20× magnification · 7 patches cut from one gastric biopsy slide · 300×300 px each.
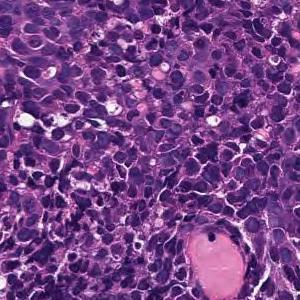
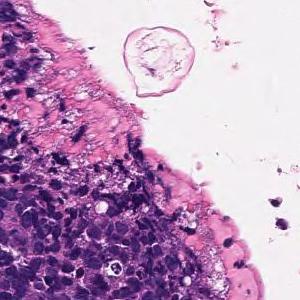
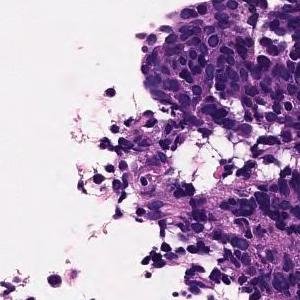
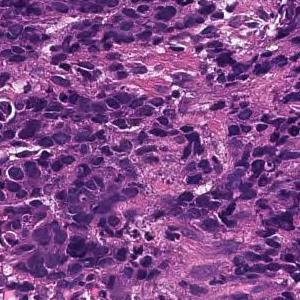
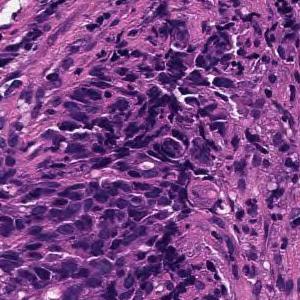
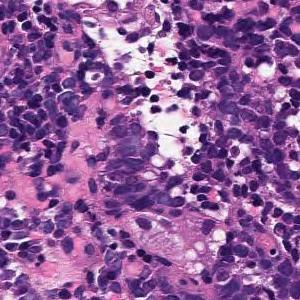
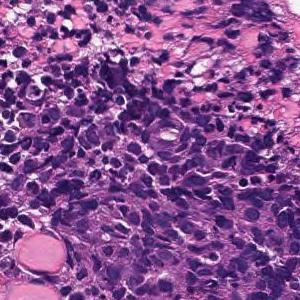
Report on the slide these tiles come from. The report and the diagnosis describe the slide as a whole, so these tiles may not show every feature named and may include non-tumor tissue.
Large sheet-like or diffusely infiltrating tumor tissue is found in the superficial epithelium. Poorly differentiated adenocarcinoma, solid-type
Tumor subtype: poorly differentiated adenocarcinoma, solid type, a category of the Japanese Classification of Gastric Carcinoma; in the WHO 2019 classification it is tubular adenocarcinoma, poorly differentiated.
